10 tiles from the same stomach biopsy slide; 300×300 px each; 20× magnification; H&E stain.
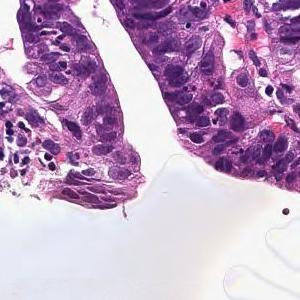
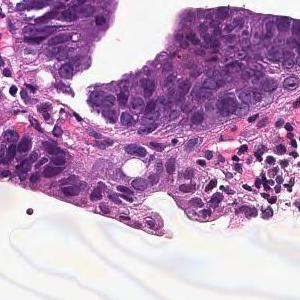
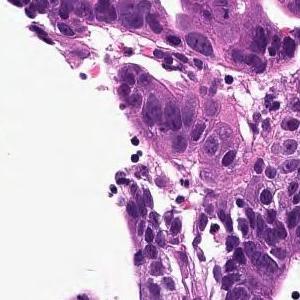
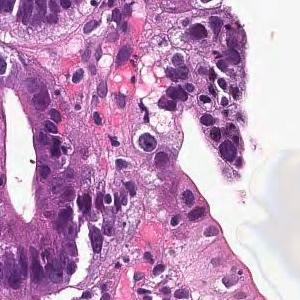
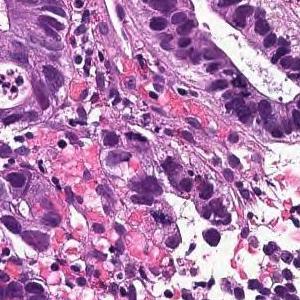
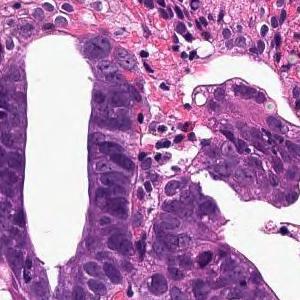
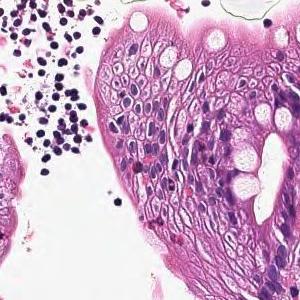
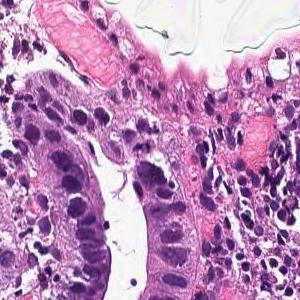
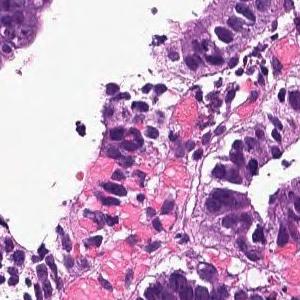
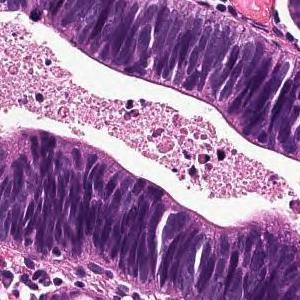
Pathology report for the biopsy slide these tiles were cut from. The findings and the diagnosis refer to the entire slide; these tiles show only part of it, possibly with non-tumor tissue, and may not show every feature named.
Tumor cells are large, highly columnar, large club-shaped nuclei, and are associated with chromatin aggregation. Papillary adenocarcinoma.
